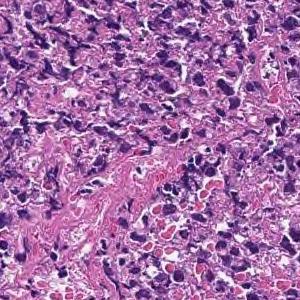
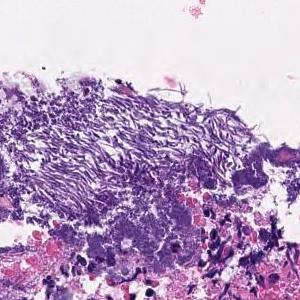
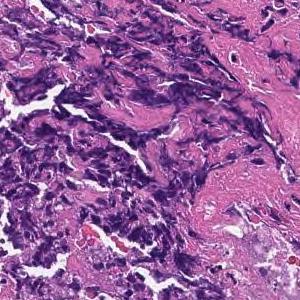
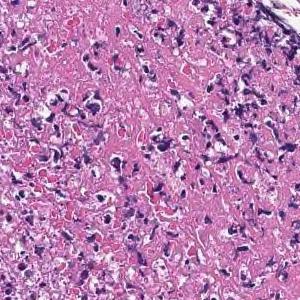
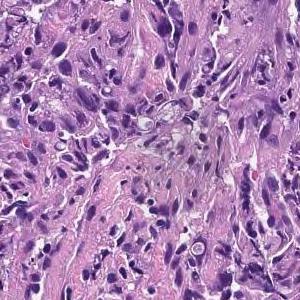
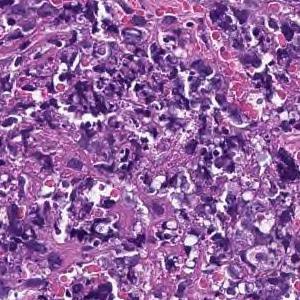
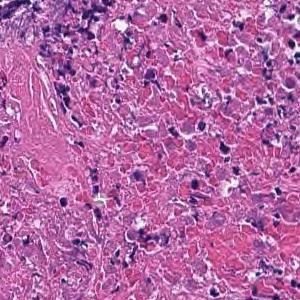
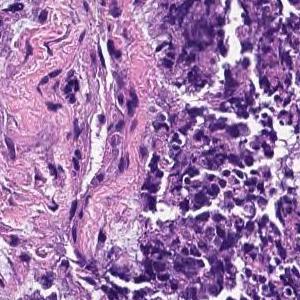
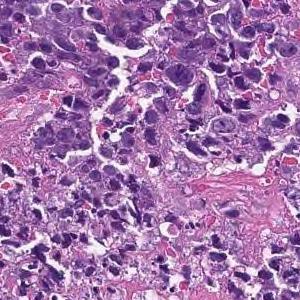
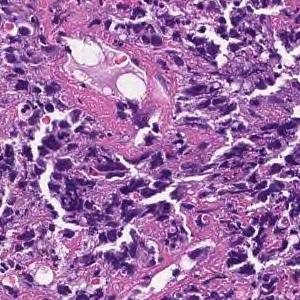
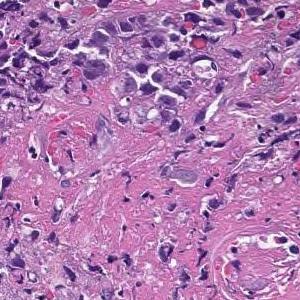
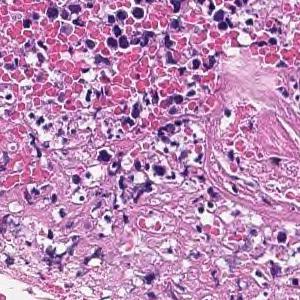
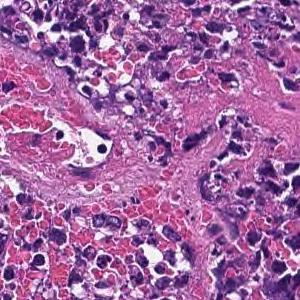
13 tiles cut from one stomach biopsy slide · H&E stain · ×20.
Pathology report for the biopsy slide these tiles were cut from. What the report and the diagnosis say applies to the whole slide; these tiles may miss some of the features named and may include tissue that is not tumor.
Most are composed of coagulative necrotic tissue, but some show a large sheet-like shape, and some show tumor tissue infiltrating with a small cord-like structure. Poorly differentiated adenocarcinoma, solid-type
Subtype: Poorly differentiated adenocarcinoma, solid type, a category of the Japanese Classification of Gastric Carcinoma; in the WHO 2019 classification it is tubular adenocarcinoma, poorly differentiated.
